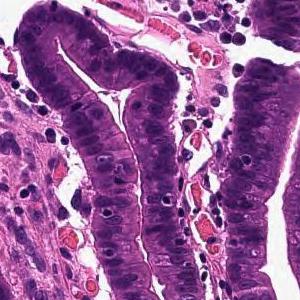
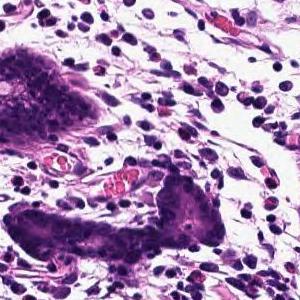
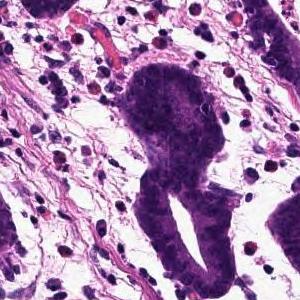
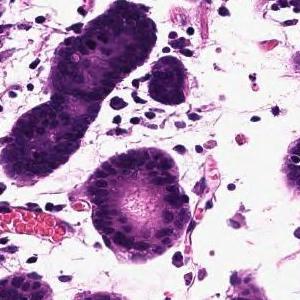
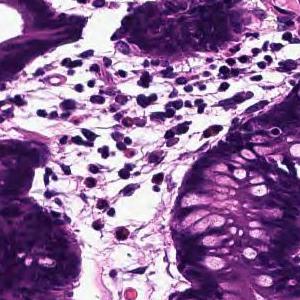
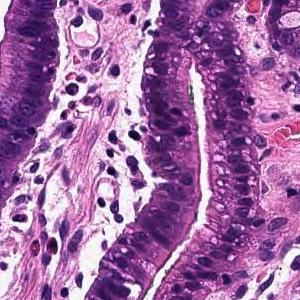
6 image tiles from a single gastric biopsy slide; each 300 × 300 pixels; H&E; scanned at ×20.
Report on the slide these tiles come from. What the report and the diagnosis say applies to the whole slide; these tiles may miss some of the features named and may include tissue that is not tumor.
Tumor tissue that infiltrates by forming large papillary or large irregular glandular ducts is observed confined to the mucosa. Papillary adenocarcinoma
